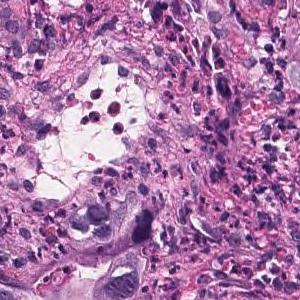
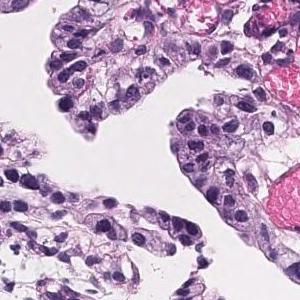
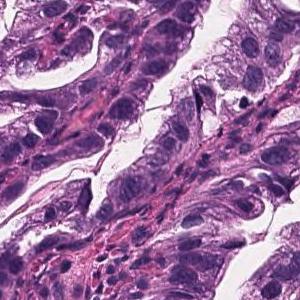
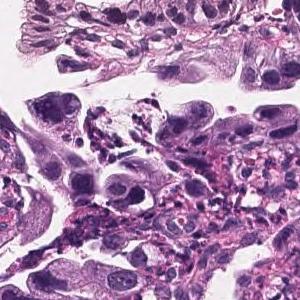
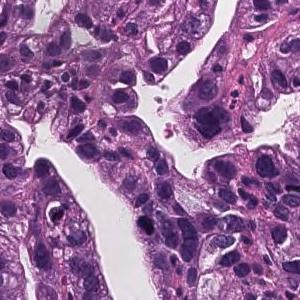
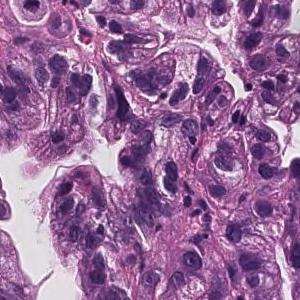
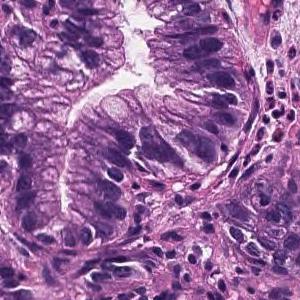
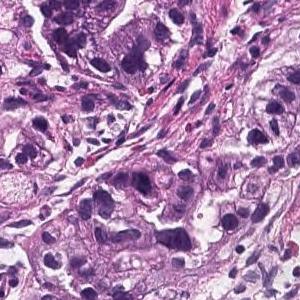
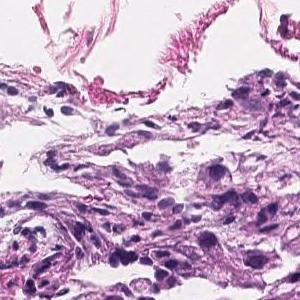
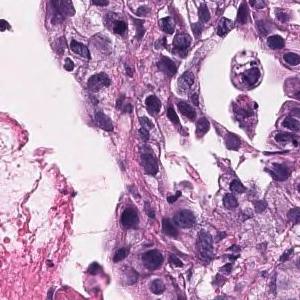
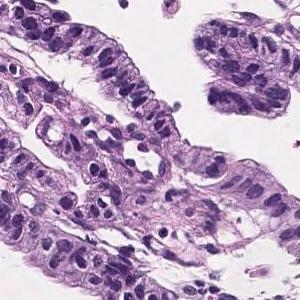
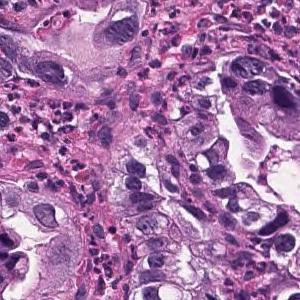
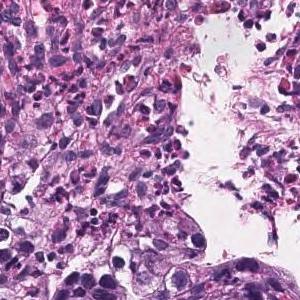
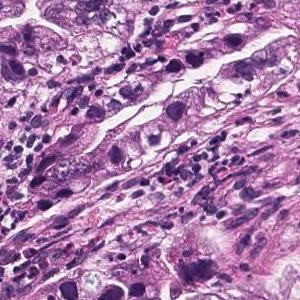
H&E; ×20; 14 tiles cut from one stomach biopsy slide; each 300 × 300 pixels.
Report on the slide these tiles come from. Both the report and the diagnosis are for the whole slide: these tiles need not show every feature named, and some of the tissue shown may not be tumor.
Tumor cells are large, highly columnar, large club-shaped nuclei, and are associated with chromatin aggregation. Papillary adenocarcinoma.
